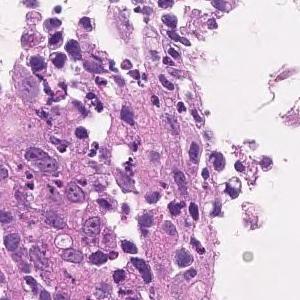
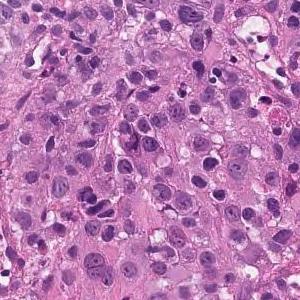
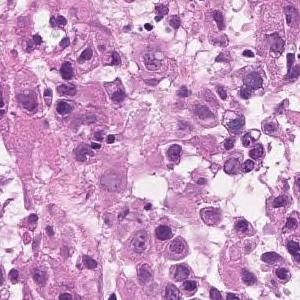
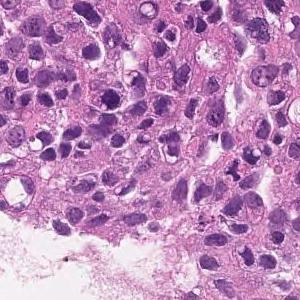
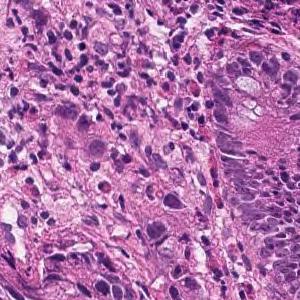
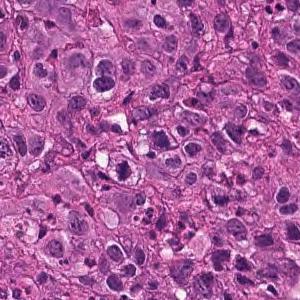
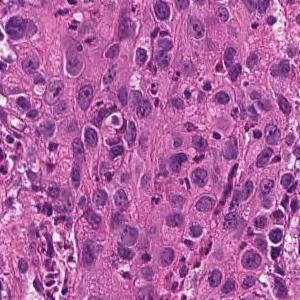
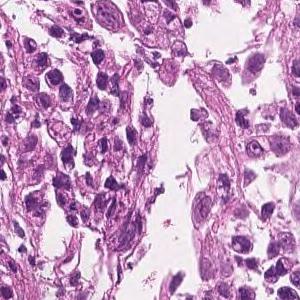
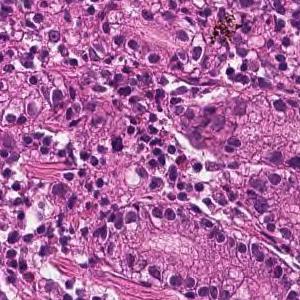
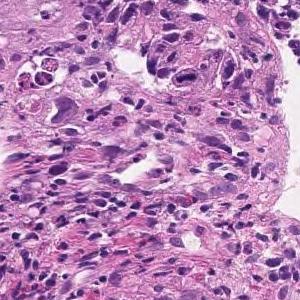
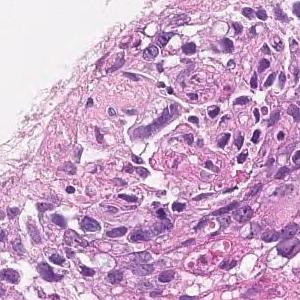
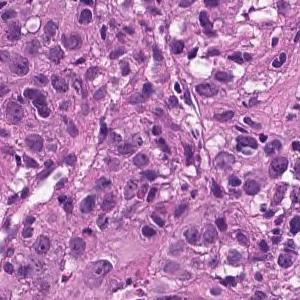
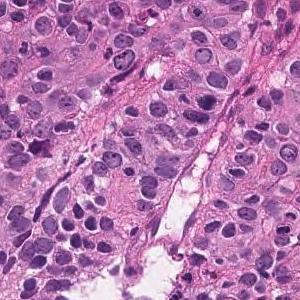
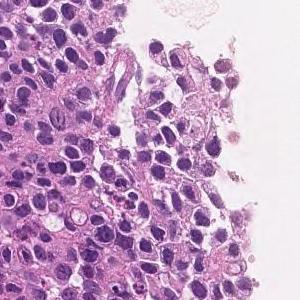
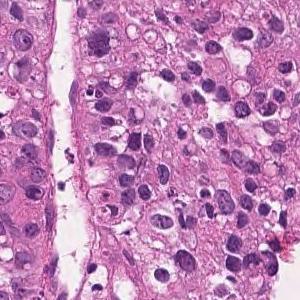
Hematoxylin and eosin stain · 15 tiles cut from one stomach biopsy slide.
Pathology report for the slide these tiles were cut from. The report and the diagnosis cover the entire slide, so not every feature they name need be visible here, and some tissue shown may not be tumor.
The superficial epithelium shows a large sheet-like shape, and some tumor tissue infiltrates with small irregular ducts. Poorly differentiated adenocarcinoma, solid-type
Histological subtype: Poorly differentiated adenocarcinoma, solid type, a category of the Japanese Classification of Gastric Carcinoma; in the WHO 2019 classification it is tubular adenocarcinoma, poorly differentiated.
